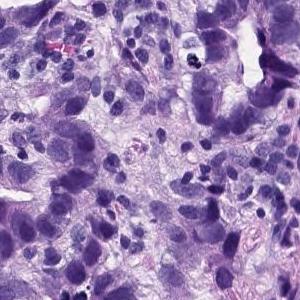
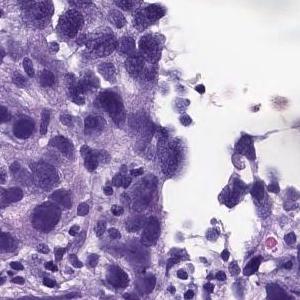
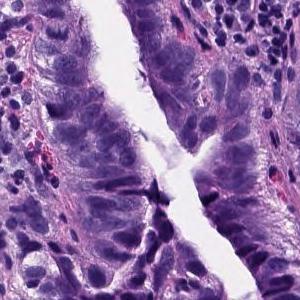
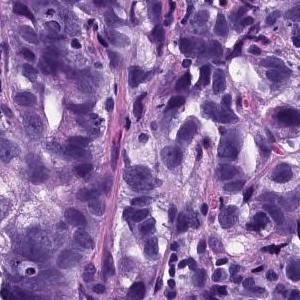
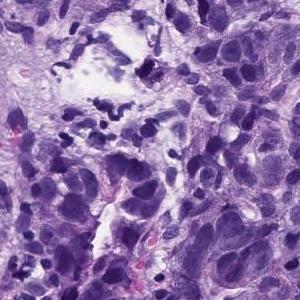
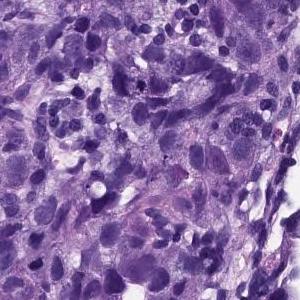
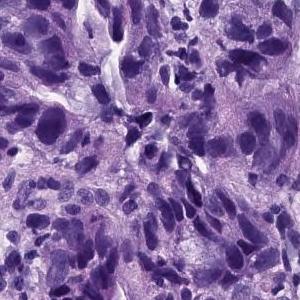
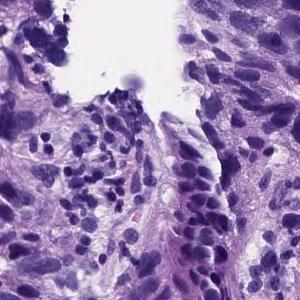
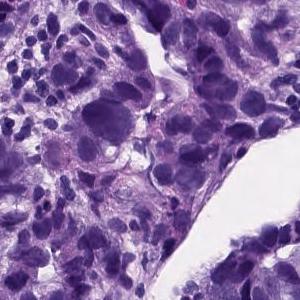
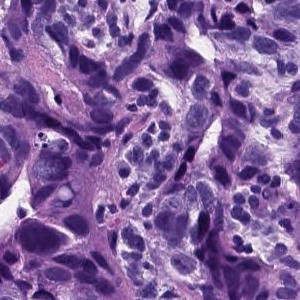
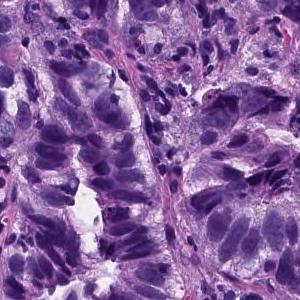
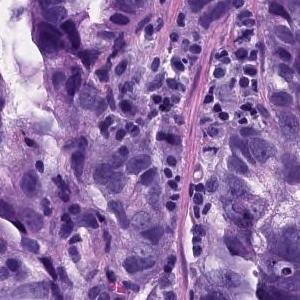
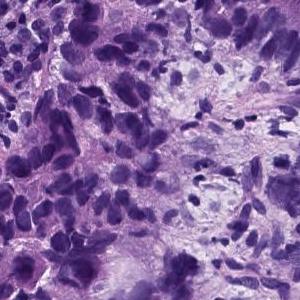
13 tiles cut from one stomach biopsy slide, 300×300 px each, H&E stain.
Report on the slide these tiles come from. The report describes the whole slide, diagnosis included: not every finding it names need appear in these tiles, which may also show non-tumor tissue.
In the superficial epithelium, tumor tissue that invades by forming medium-sized to small, irregular ducts is observed. Moderately differentiated adenocarcinoma.
Histologic type: Moderately differentiated tubular adenocarcinoma.
